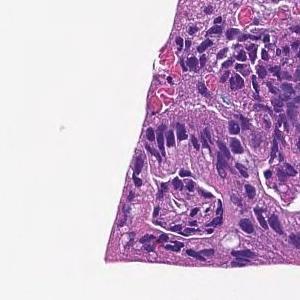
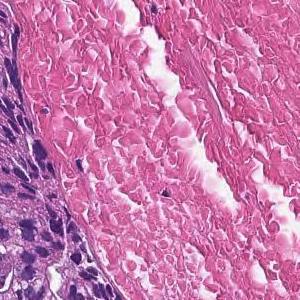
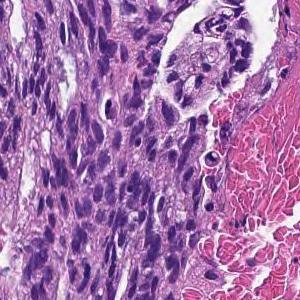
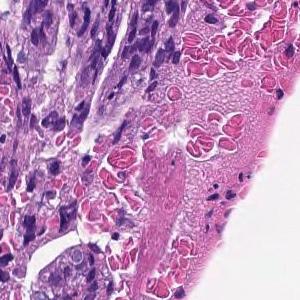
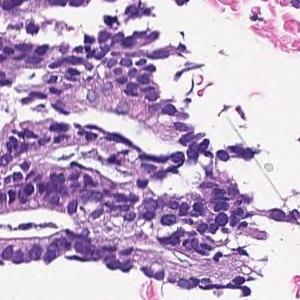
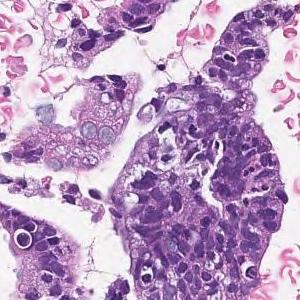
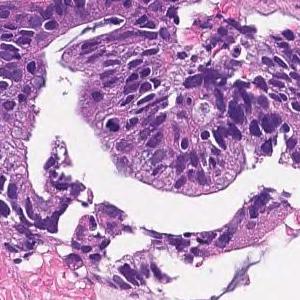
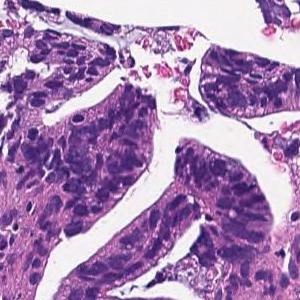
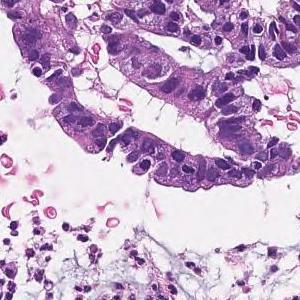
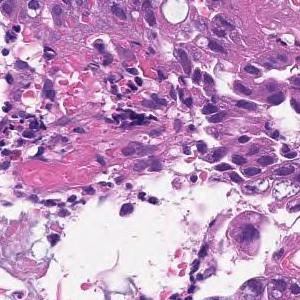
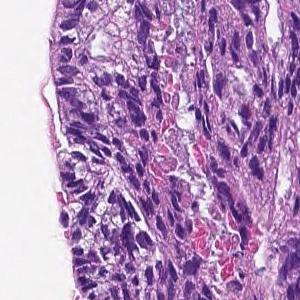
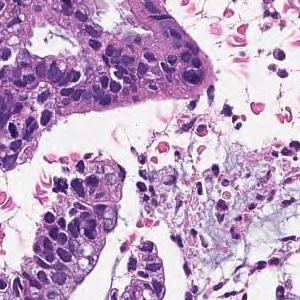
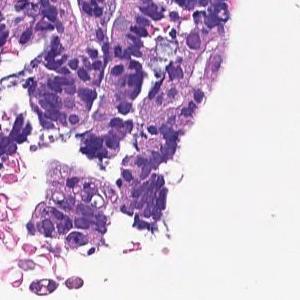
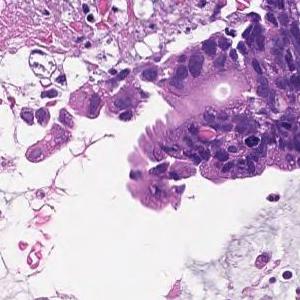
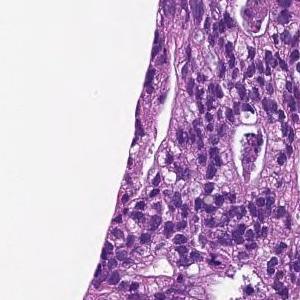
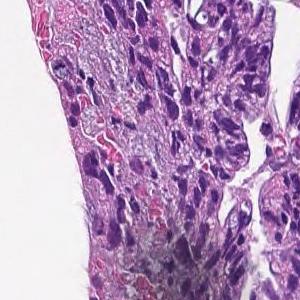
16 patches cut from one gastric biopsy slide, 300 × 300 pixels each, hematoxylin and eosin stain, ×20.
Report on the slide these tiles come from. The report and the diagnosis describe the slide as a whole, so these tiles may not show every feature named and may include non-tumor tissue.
In the superficial epithelium, tumor tissue that invades by forming medium-sized to small, irregular ducts is observed. moderately differentiated tubular adenocarcinoma.
